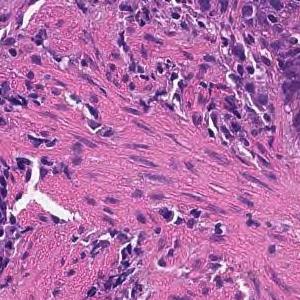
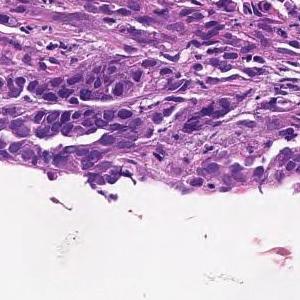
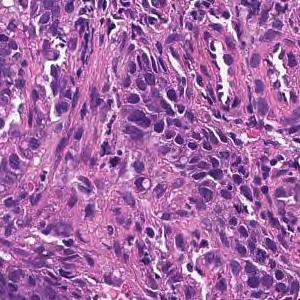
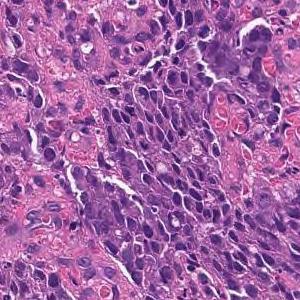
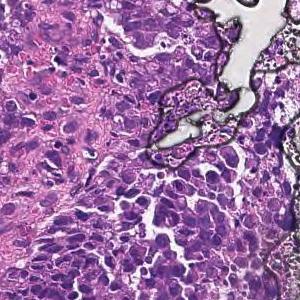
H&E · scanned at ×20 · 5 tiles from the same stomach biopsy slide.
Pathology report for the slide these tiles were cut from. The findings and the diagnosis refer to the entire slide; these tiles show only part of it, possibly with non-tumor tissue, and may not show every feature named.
Tumor tissue consisting of cord-like or small, irregular glandular ducts fused and infiltrated is observed in the superficial epithelium. Poorly differentiated adenocarcinoma, non-solid type
"Non-solid type" is a category of the Japanese Classification of Gastric Carcinoma.
